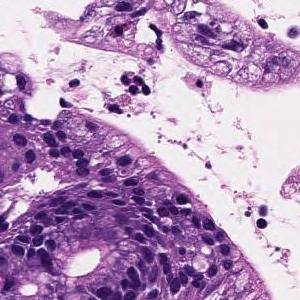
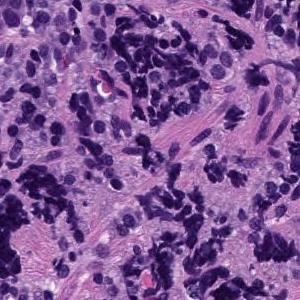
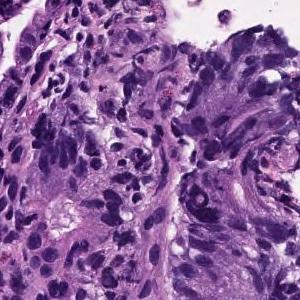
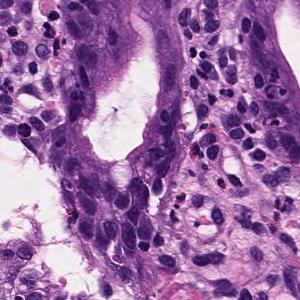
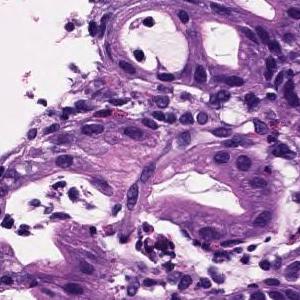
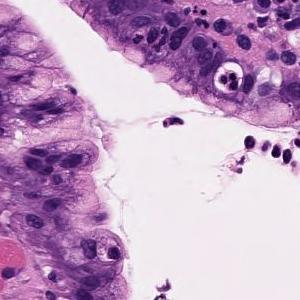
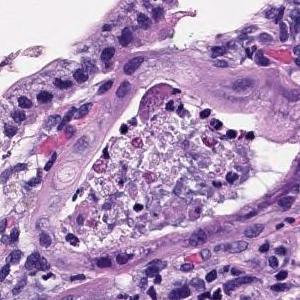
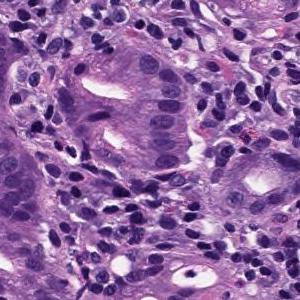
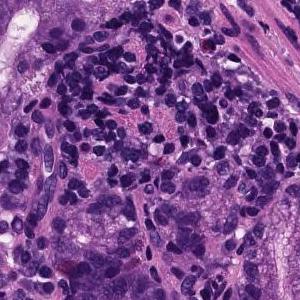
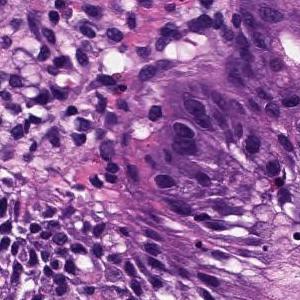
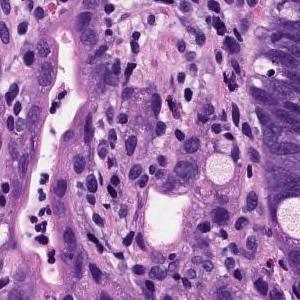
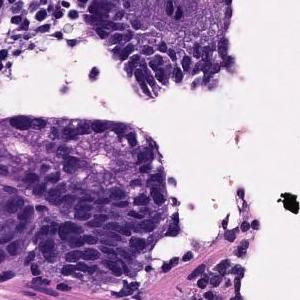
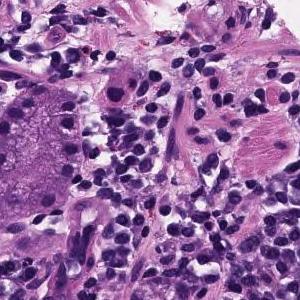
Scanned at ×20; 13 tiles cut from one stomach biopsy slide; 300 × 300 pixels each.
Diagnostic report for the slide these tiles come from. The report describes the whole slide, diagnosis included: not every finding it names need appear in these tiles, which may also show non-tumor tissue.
Medium to small, irregular glandular ducts are formed in the superficial epithelium, and in some cases, the glandular ducts are fused to show solid alveolar lesions and infiltrating tumor tissue is observed. Moderately to poorly differentiated adenocarcinoma.
